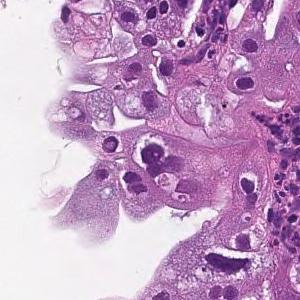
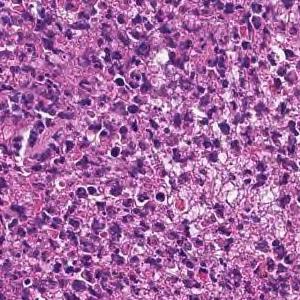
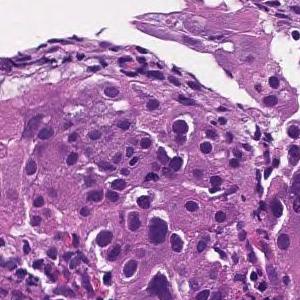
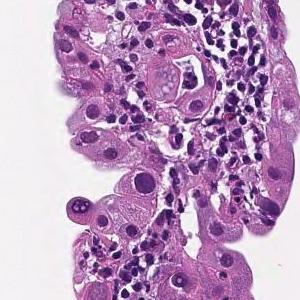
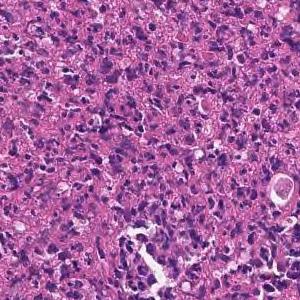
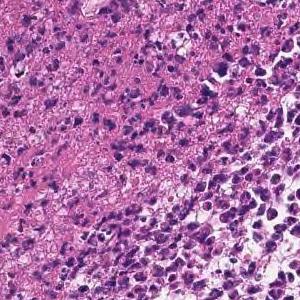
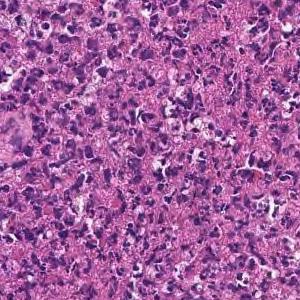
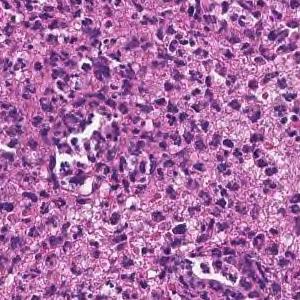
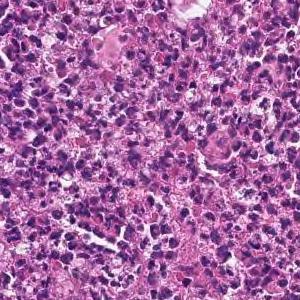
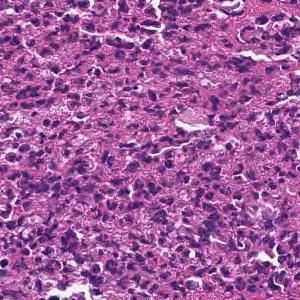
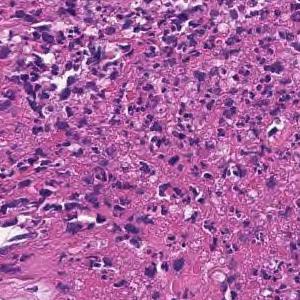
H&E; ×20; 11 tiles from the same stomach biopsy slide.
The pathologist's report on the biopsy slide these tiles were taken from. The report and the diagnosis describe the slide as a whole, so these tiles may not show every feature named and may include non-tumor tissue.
In the superficial epithelium, tumor tissue infiltrated by partial fusion of medium-sized to small, irregular glandular ducts is observed. moderately differentiated tubular adenocarcinoma
